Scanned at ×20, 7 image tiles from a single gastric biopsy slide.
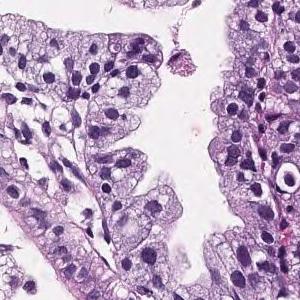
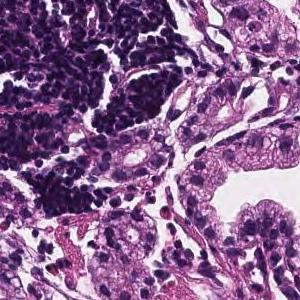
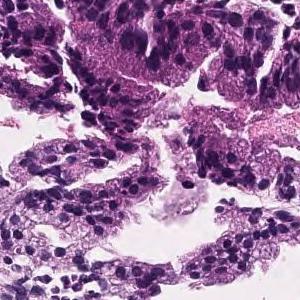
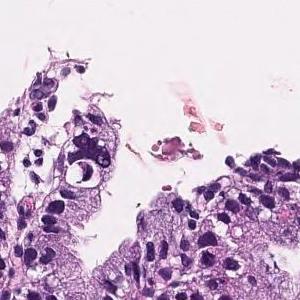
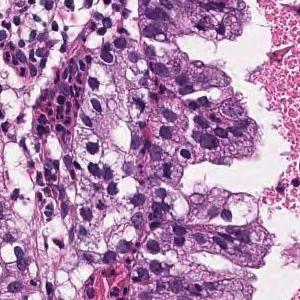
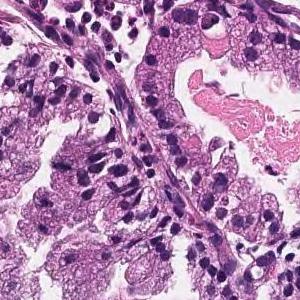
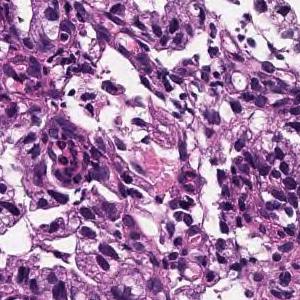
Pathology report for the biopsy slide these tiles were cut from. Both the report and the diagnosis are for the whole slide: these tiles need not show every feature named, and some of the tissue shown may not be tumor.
In the superficial epithelium, tumor tissue that infiltrates by forming medium-sized papillary or small irregular ducts is observed. Papillary adenocarcinoma
